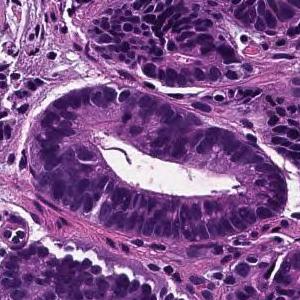
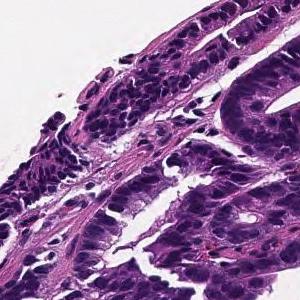
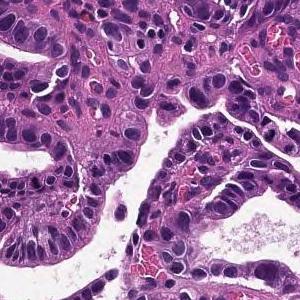
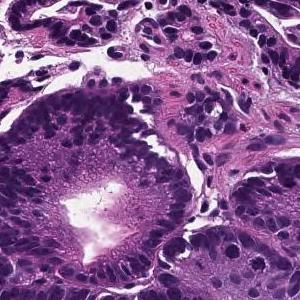
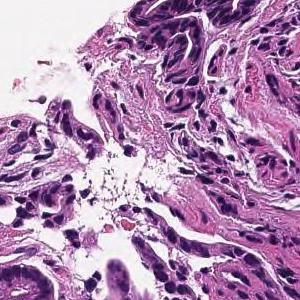
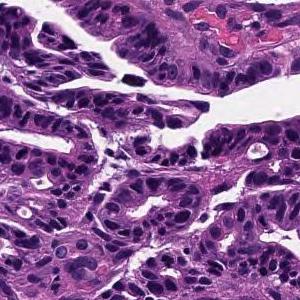
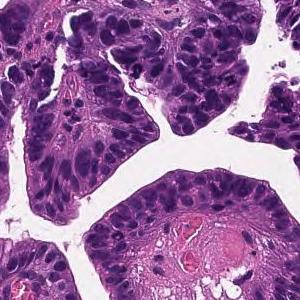
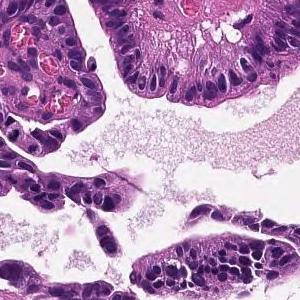
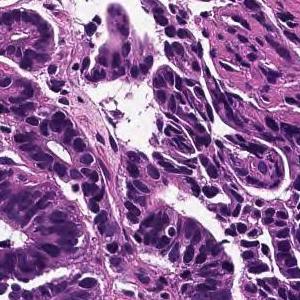
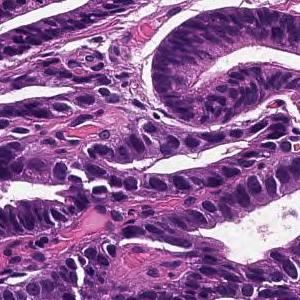
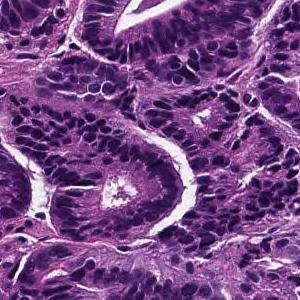
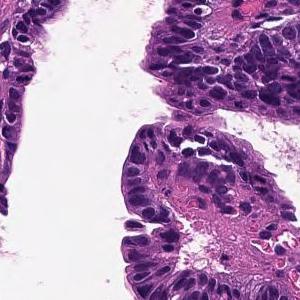
Scanned at ×20 · H&E stain · 12 image tiles from a single gastric biopsy slide.
Pathology report for the biopsy slide these tiles were cut from. Both the report and the diagnosis are for the whole slide: these tiles need not show every feature named, and some of the tissue shown may not be tumor.
Tumor tissue consisting of large papillary structures is found in the superficial epithelium. Papillary adenocarcinoma.
